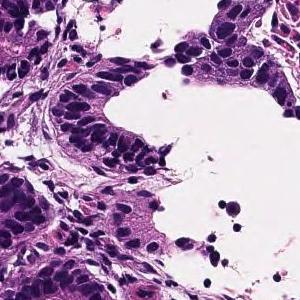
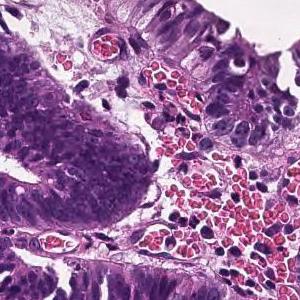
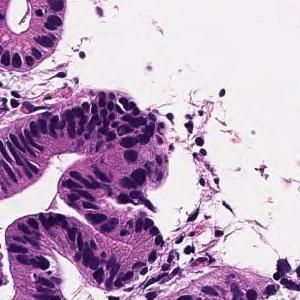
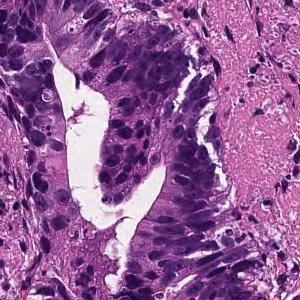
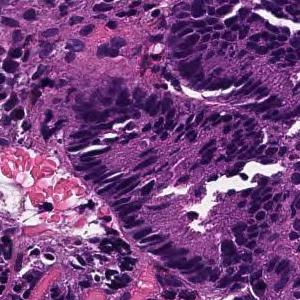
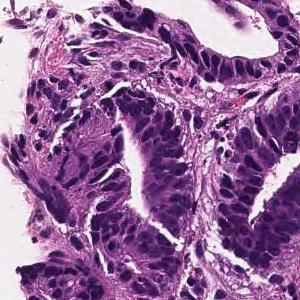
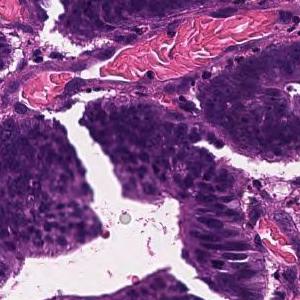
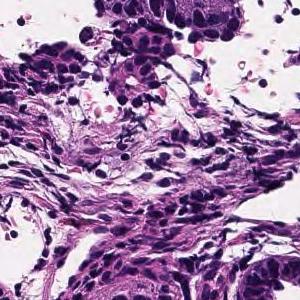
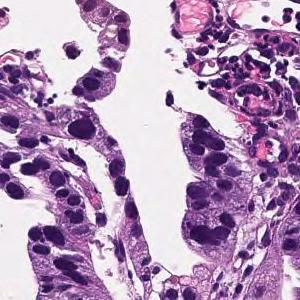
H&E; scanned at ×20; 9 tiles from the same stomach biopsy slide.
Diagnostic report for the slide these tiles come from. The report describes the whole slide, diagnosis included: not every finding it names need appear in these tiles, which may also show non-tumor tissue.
Tumor tissue consisting of large papillary structures is found in the superficial epithelium. Papillary adenocarcinoma.
